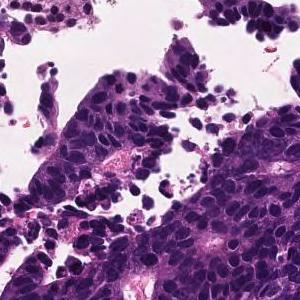
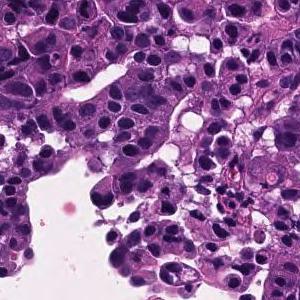
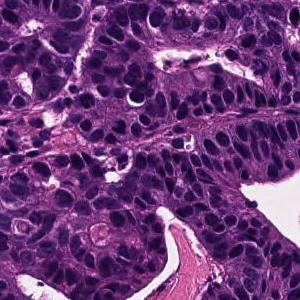
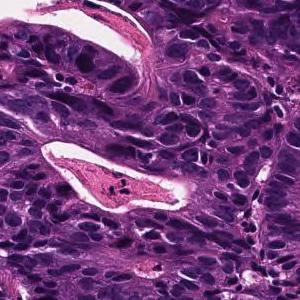
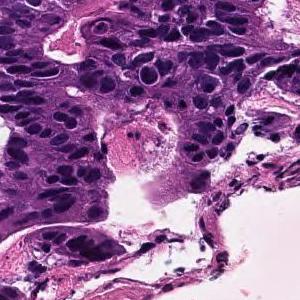
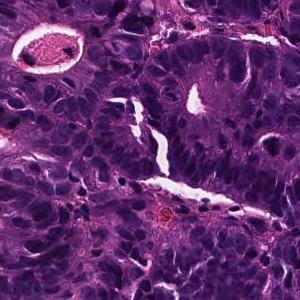
6 image tiles from a single gastric biopsy slide · each 300 × 300 pixels · H&E · scanned at ×20.
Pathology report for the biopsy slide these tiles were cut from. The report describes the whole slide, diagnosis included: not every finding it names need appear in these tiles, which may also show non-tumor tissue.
In the superficial epithelium, tumor tissue that invades by forming medium-sized to small, irregular ducts is observed. moderately differentiated tubular adenocarcinoma.
